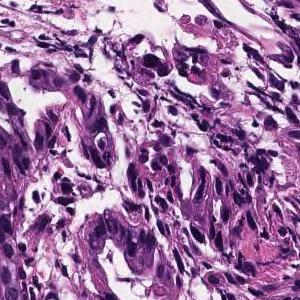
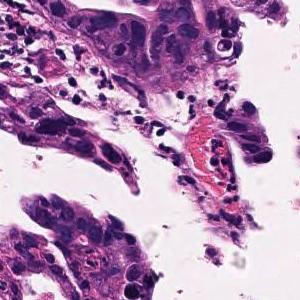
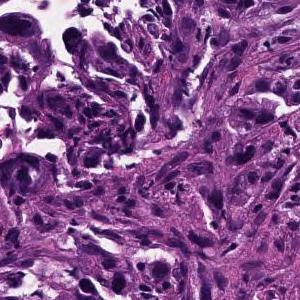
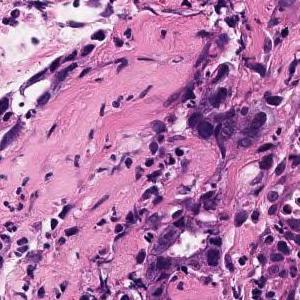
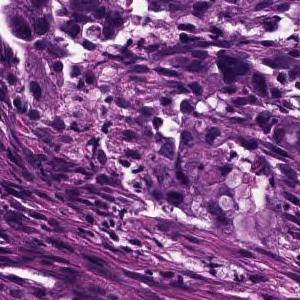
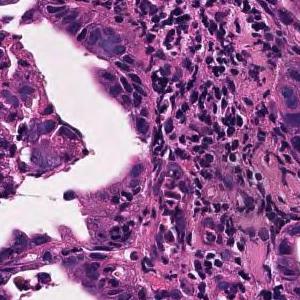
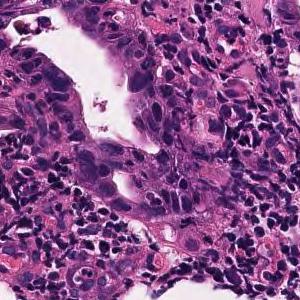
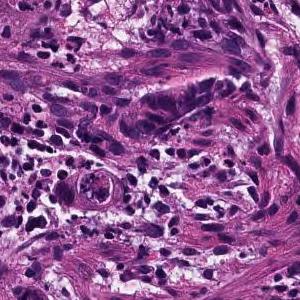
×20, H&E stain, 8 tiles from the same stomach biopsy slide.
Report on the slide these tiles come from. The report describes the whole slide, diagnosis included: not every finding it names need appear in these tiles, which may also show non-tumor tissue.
In the superficial epithelium, medium-sized to small irregular glandular ducts are formed, and in some cases, the glandular ducts are fused or small cord-like infiltrating tumor tissue is observed. moderately differentiated tubular adenocarcinoma
